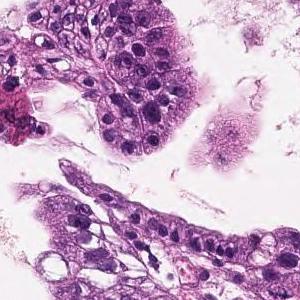
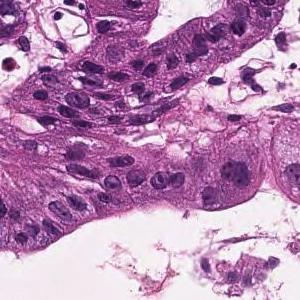
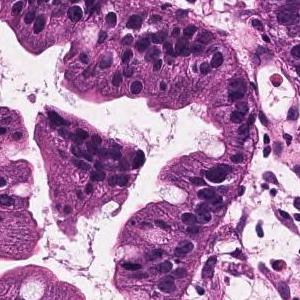
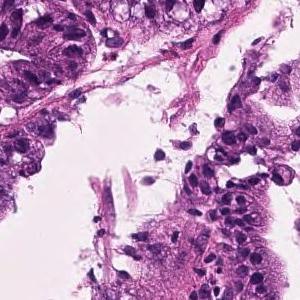
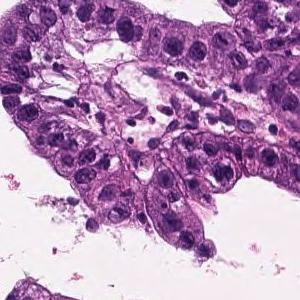
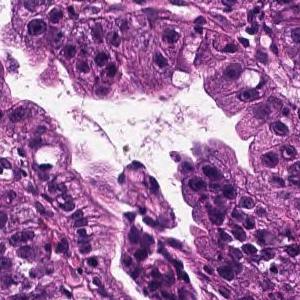
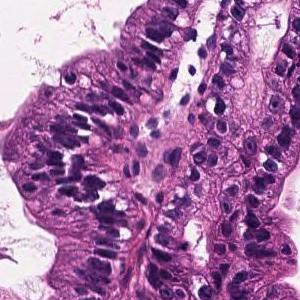
Scanned at ×20 · H&E · 7 patches cut from one gastric biopsy slide.
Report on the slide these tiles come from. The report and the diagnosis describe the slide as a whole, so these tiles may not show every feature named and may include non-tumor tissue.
On the superficial epithelium, tumor tissue that infiltrates by forming medium-sized papillary or small irregular ducts is observed. Papillary adenocarcinoma
